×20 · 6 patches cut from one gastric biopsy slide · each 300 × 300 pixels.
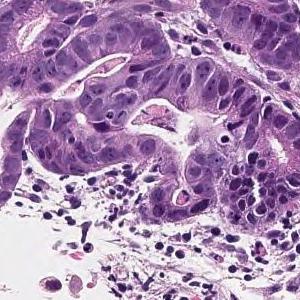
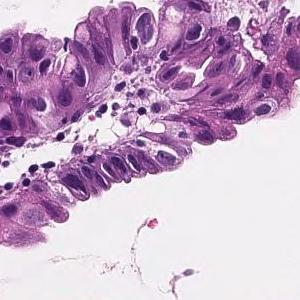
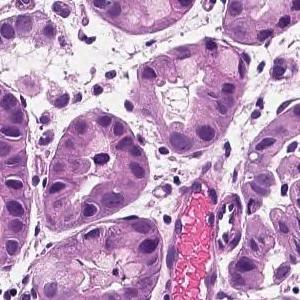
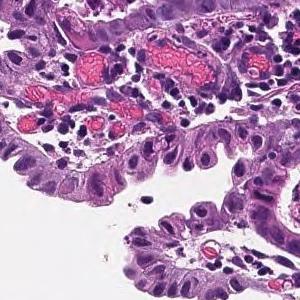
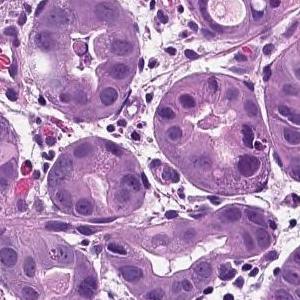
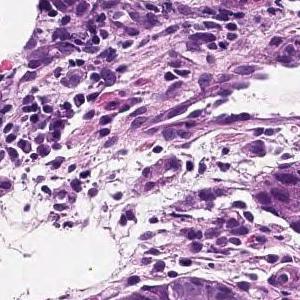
Pathology report for the biopsy slide these tiles were cut from. What the report and the diagnosis say applies to the whole slide; these tiles may miss some of the features named and may include tissue that is not tumor.
On the superficial epithelium, tumor tissue that infiltrates by forming medium-sized papillary or small irregular ducts is observed. Papillary adenocarcinoma
